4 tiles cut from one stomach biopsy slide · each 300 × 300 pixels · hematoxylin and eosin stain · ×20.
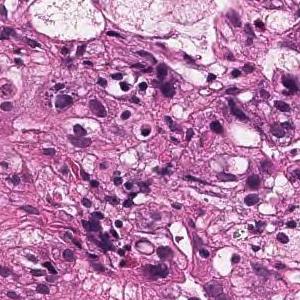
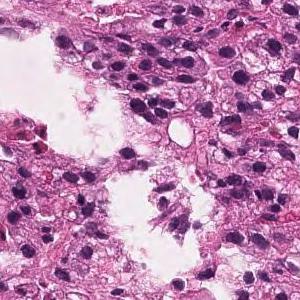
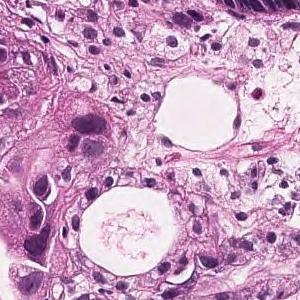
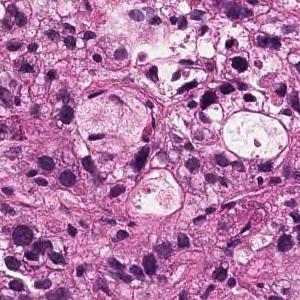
Pathology report for the slide these tiles were cut from. What the report and the diagnosis say applies to the whole slide; these tiles may miss some of the features named and may include tissue that is not tumor.
Medium to small, irregular glandular ducts are formed in the superficial epithelium, and in some cases, the glandular ducts are fused to show solid alveolar lesions and infiltrating tumor tissue is observed. Moderately to poorly differentiated adenocarcinoma.
